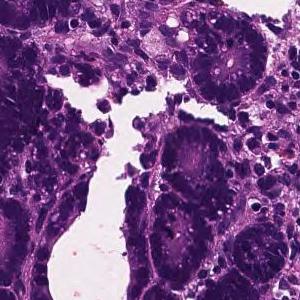
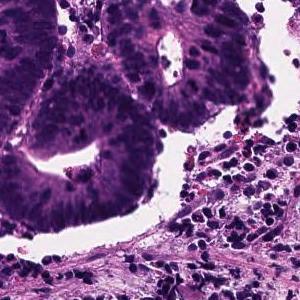
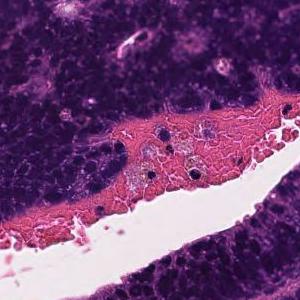
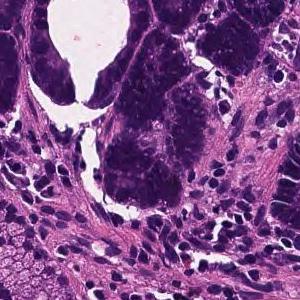
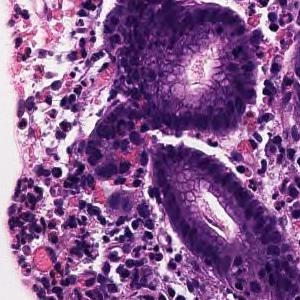
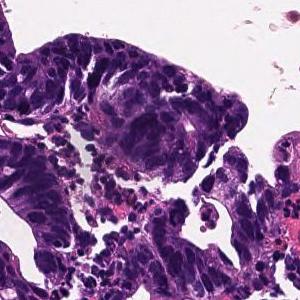
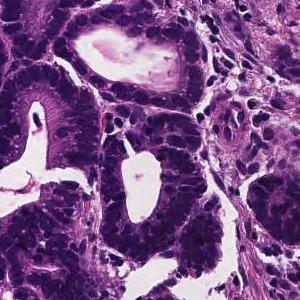
H&E; scanned at ×20; 7 tiles cut from one stomach biopsy slide; 300×300 px each.
Report on the slide these tiles come from. Both the report and the diagnosis are for the whole slide: these tiles need not show every feature named, and some of the tissue shown may not be tumor.
On the superficial epithelium, tumor tissue consisting of medium-sized and irregular glandular ducts partially fused and infiltrated is observed. Well to moderately differentiated tubular adenocarcinoma (well differentiated tubular adenocarcinoma, moderately differentiated tubular adenocarcinoma)
Tumor subtype: well to moderately differentiated tubular adenocarcinoma.
